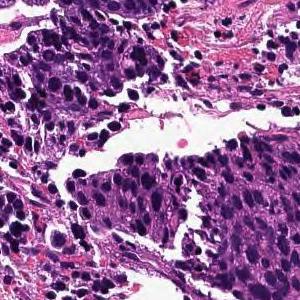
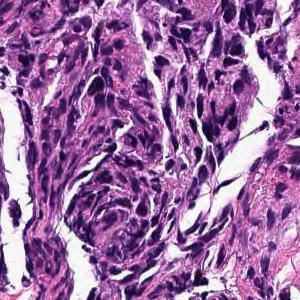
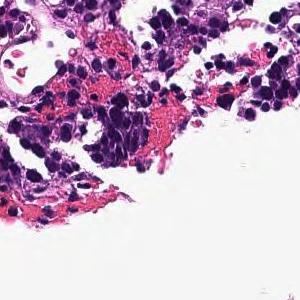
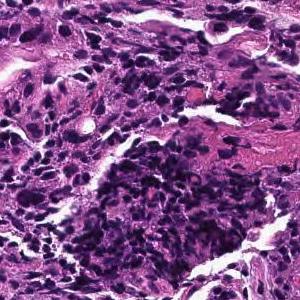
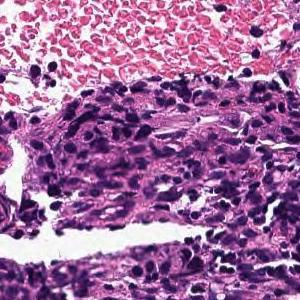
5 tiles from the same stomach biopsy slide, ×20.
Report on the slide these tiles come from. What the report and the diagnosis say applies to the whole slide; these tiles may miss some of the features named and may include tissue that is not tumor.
In the superficial epithelium, tumor tissue that invades by forming medium-sized to small, irregular ducts is observed. moderately differentiated tubular adenocarcinoma.
